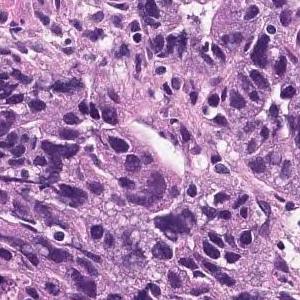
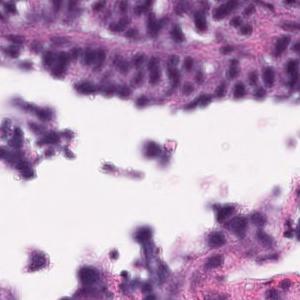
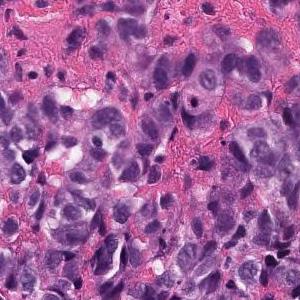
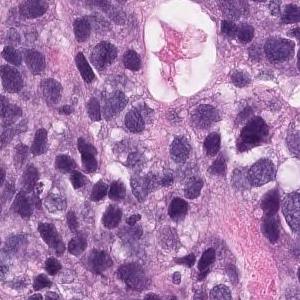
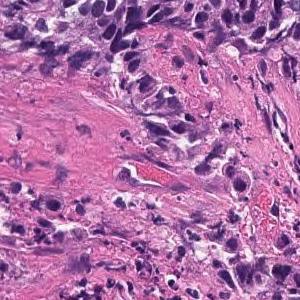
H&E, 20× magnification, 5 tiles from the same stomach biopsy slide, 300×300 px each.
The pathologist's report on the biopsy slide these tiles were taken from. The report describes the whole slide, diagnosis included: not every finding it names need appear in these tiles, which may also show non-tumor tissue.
Medium to small, irregular glandular ducts are formed in the superficial epithelium, and in some cases, the glandular ducts are fused to show solid alveolar lesions and infiltrating tumor tissue is observed. Moderately to poorly differentiated adenocarcinoma.
